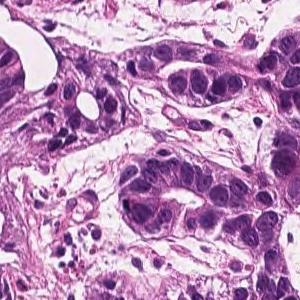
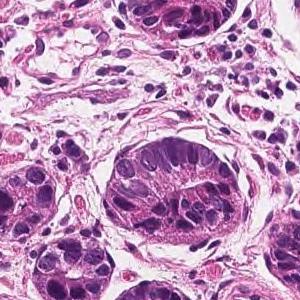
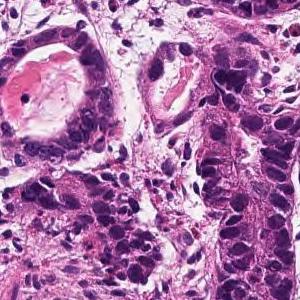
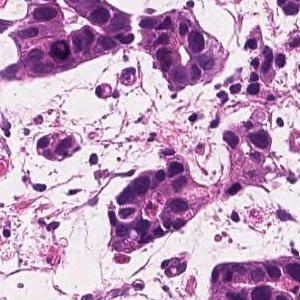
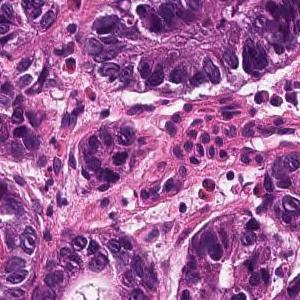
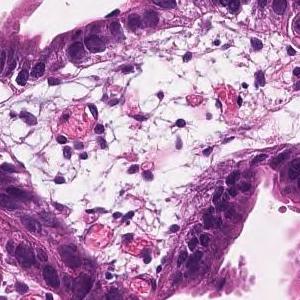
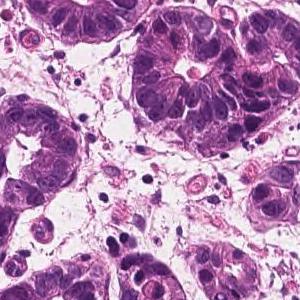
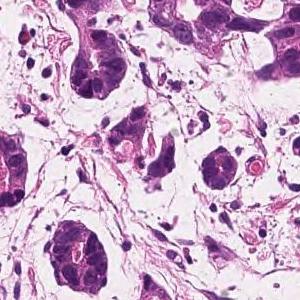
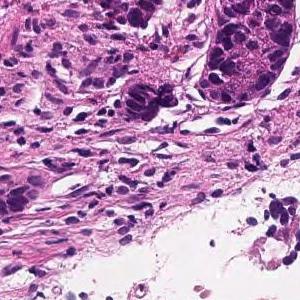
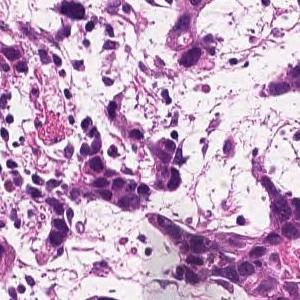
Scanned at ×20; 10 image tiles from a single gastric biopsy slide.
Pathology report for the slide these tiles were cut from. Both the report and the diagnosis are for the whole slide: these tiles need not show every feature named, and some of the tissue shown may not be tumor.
In the superficial epithelium, tumor tissue that invades by forming medium-sized to small, irregular ducts is observed. Well differentiated tubular adenocarcinoma.
